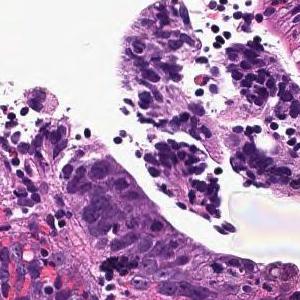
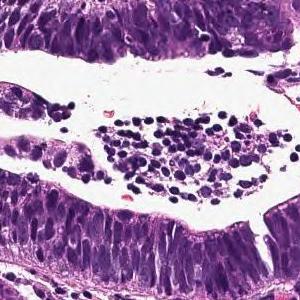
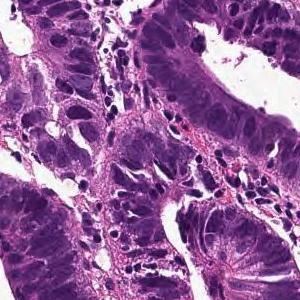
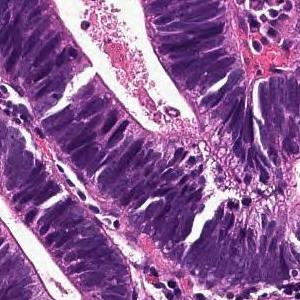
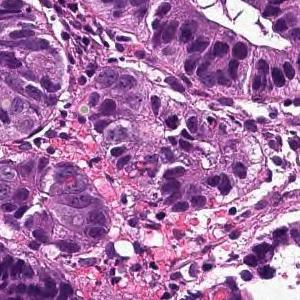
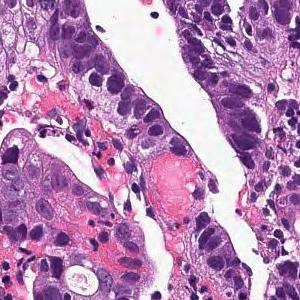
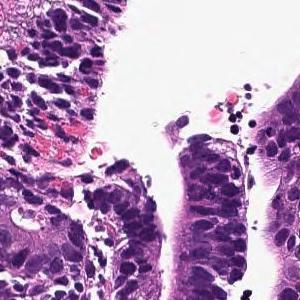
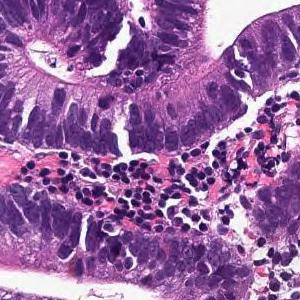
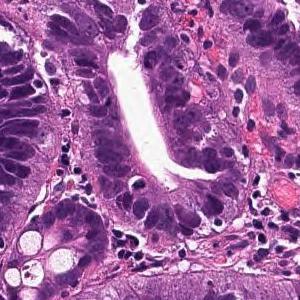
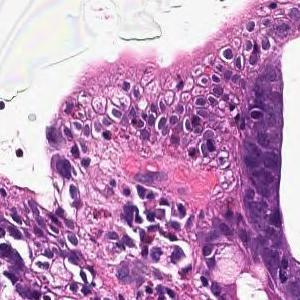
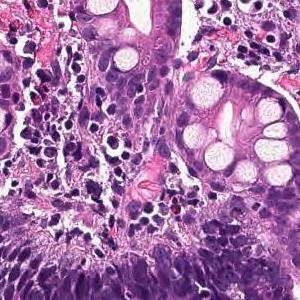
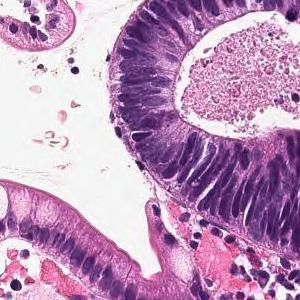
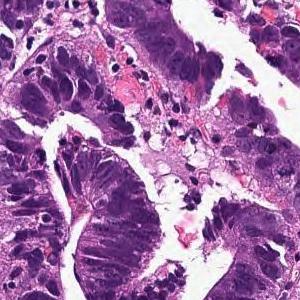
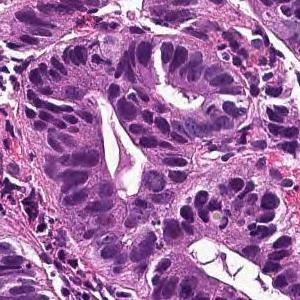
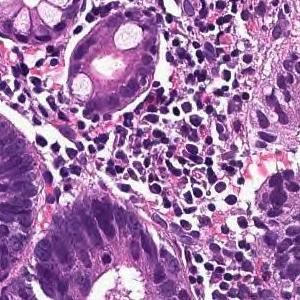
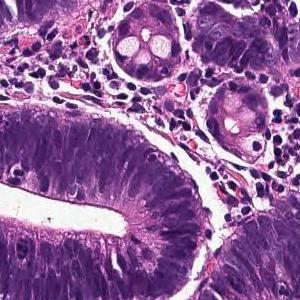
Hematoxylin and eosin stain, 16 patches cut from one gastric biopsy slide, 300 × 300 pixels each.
Pathology report for the slide these tiles were cut from. Both the report and the diagnosis are for the whole slide: these tiles need not show every feature named, and some of the tissue shown may not be tumor.
Tumor cells are large, highly columnar, large club-shaped nuclei, and are associated with chromatin aggregation. Papillary adenocarcinoma.
